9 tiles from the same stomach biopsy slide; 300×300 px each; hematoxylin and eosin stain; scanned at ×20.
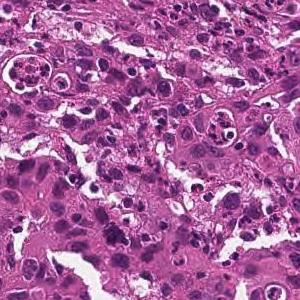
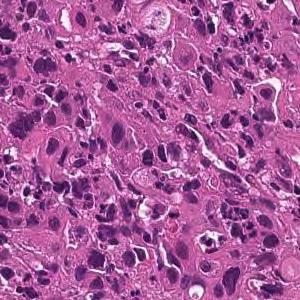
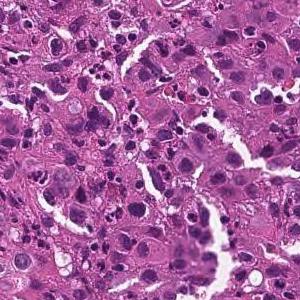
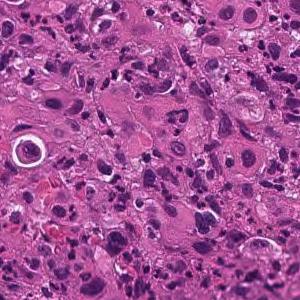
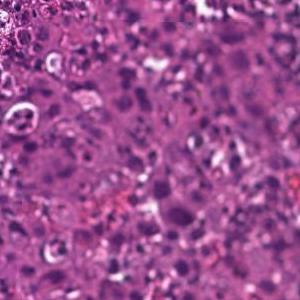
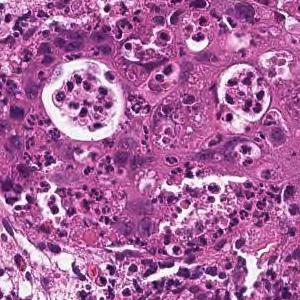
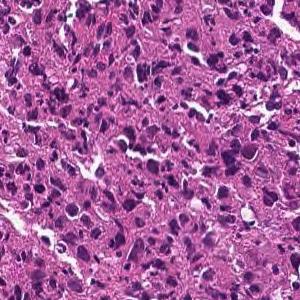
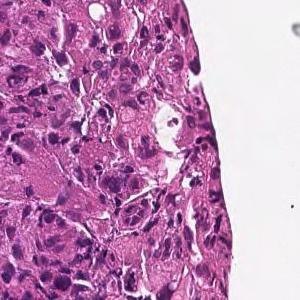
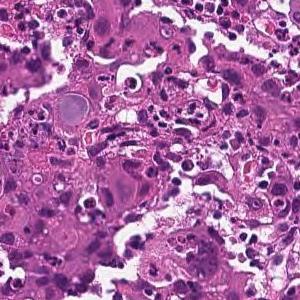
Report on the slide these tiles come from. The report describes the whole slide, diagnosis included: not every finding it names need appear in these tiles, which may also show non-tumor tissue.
The superficial epithelium shows a large sheet-like shape, and some tumor tissue infiltrates with small irregular ducts. Poorly differentiated adenocarcinoma, solid-type
Subtype: Poorly differentiated adenocarcinoma, solid type (Japanese Classification of Gastric Carcinoma). The WHO 2019 equivalent is tubular adenocarcinoma, poorly differentiated.
